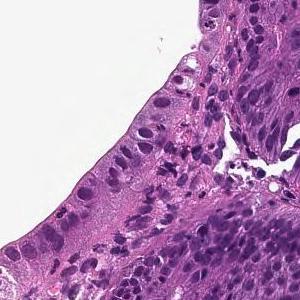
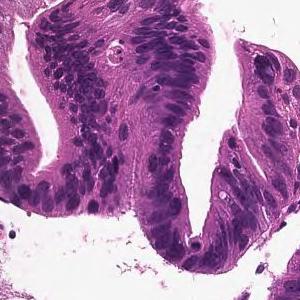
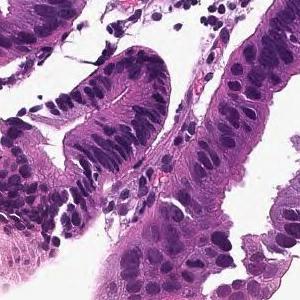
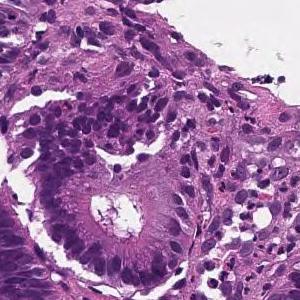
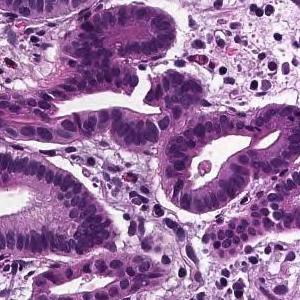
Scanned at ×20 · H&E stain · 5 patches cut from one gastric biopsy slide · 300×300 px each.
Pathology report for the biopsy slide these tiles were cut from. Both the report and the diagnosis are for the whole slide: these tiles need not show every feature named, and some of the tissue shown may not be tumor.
From the superficial epithelium to the muscularis mucosae, tumor tissue consisting of medium-sized and irregular glandular ducts infiltrating is observed. Well differentiated tubular adenocarcinoma
